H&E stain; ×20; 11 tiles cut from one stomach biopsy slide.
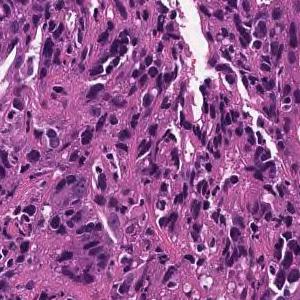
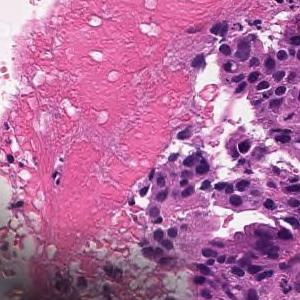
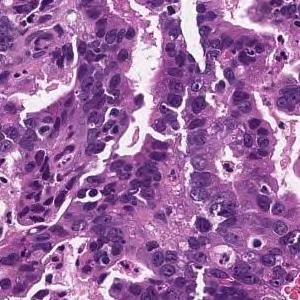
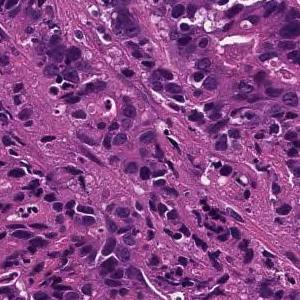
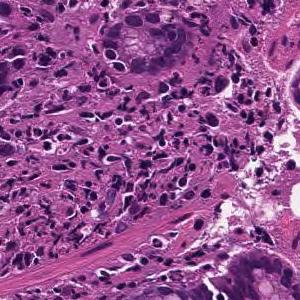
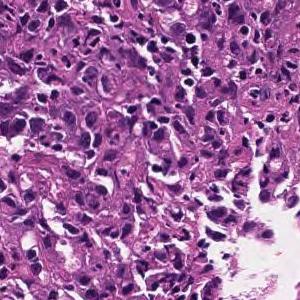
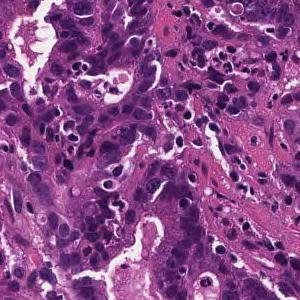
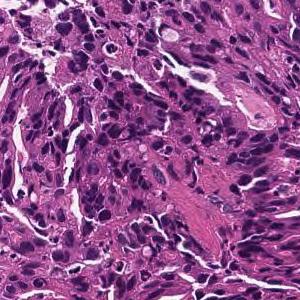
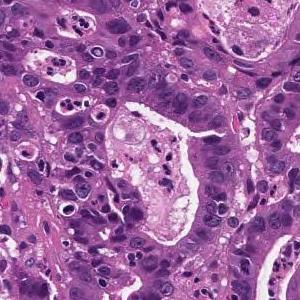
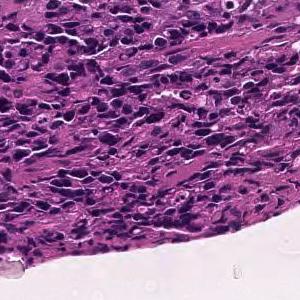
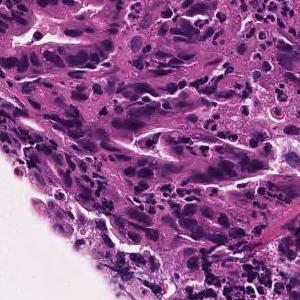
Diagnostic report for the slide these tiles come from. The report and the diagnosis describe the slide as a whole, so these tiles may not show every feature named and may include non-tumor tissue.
In the superficial epithelium, tumor tissue that invades by forming medium-sized to small, irregular ducts is observed. moderately differentiated tubular adenocarcinoma.
